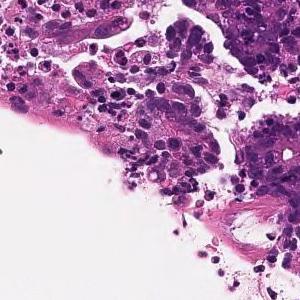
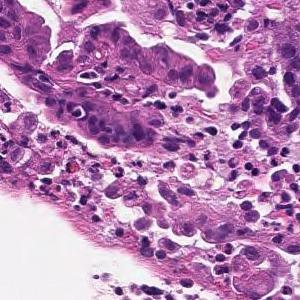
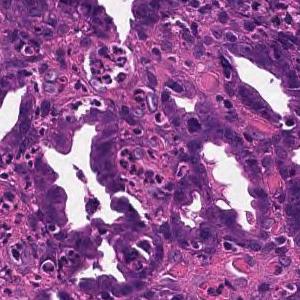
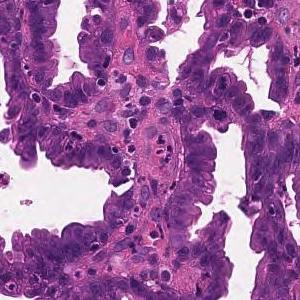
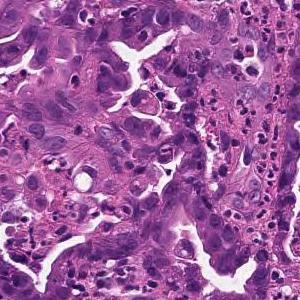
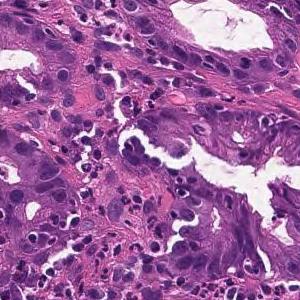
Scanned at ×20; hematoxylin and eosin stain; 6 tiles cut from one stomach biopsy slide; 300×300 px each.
The pathologist's report on the biopsy slide these tiles were taken from. What the report and the diagnosis say applies to the whole slide; these tiles may miss some of the features named and may include tissue that is not tumor.
From the superficial epithelium to the muscularis mucosae, tumor tissue consisting of medium-sized and irregular glandular ducts infiltrating is observed. Well differentiated tubular adenocarcinoma
